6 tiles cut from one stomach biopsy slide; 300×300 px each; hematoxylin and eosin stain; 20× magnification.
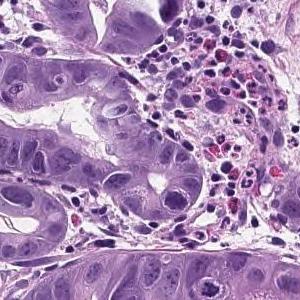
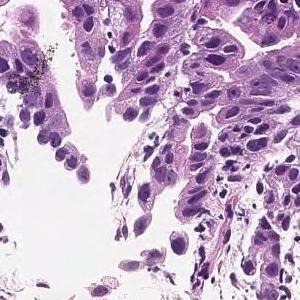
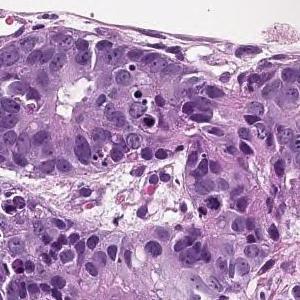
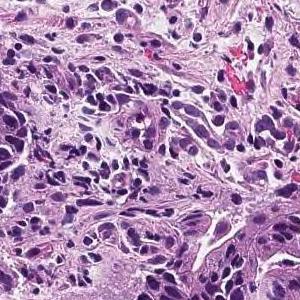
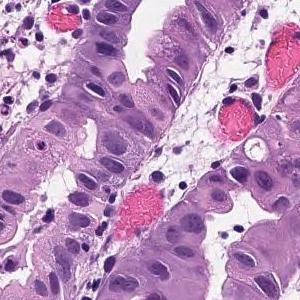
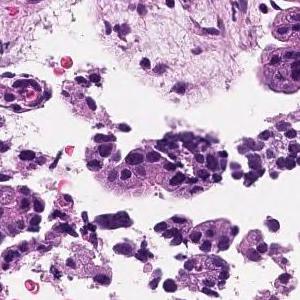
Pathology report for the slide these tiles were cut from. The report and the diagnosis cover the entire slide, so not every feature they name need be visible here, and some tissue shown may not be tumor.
On the superficial epithelium, tumor tissue that infiltrates by forming medium-sized papillary or small irregular ducts is observed. Papillary adenocarcinoma
